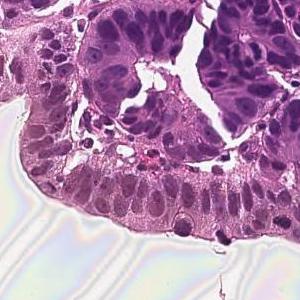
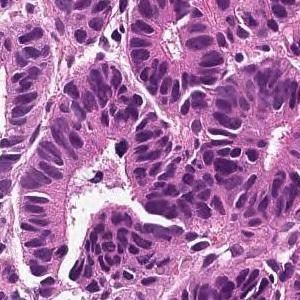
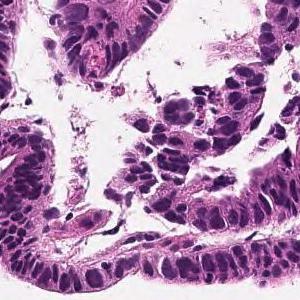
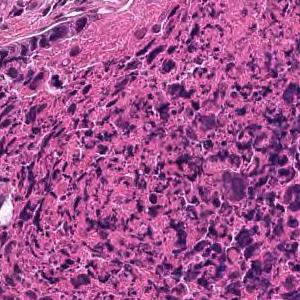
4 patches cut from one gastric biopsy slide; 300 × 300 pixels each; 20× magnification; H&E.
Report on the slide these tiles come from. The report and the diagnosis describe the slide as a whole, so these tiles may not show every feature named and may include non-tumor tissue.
From the superficial epithelium to the muscularis mucosae, tumor tissue consisting of medium-sized and irregular glandular ducts infiltrating is observed. Well differentiated tubular adenocarcinoma
